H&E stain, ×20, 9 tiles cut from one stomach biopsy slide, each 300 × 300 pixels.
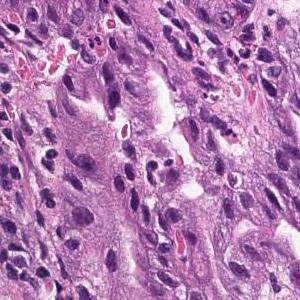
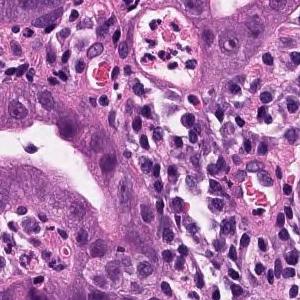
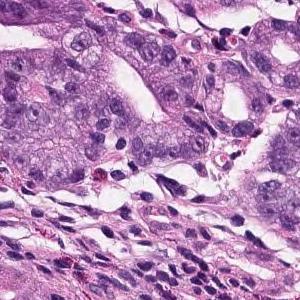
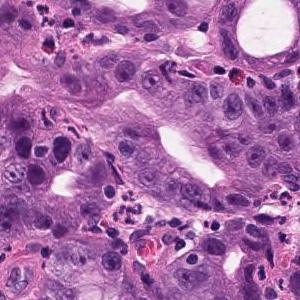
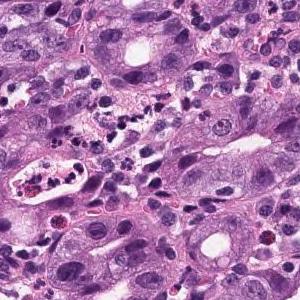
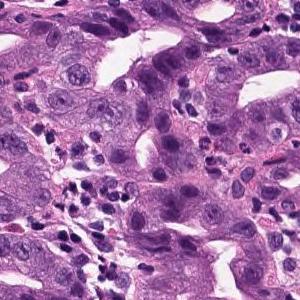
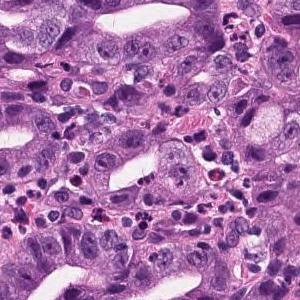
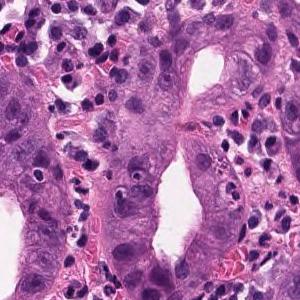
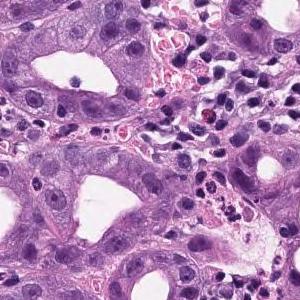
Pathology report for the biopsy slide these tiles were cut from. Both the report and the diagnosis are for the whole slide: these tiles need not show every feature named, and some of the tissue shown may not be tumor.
In the superficial epithelium, tumor tissue that invades by forming medium-sized to small, irregular ducts is observed. Well to moderately differentiated adenocarcinoma (well differentiated tubular adenocarcinoma, moderately differentiated tubular adenocarcinoma).
Subtype: Well to moderately differentiated tubular adenocarcinoma.
